12 patches cut from one gastric biopsy slide.
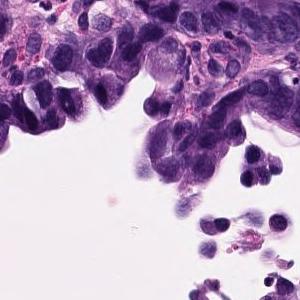
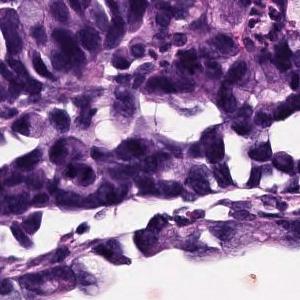
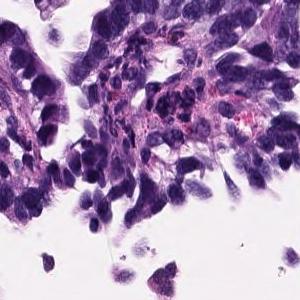
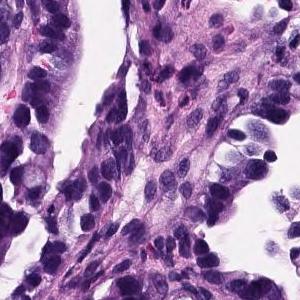
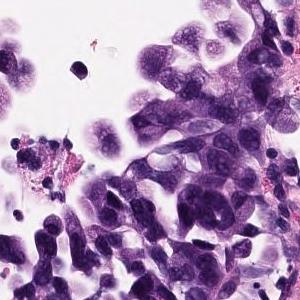
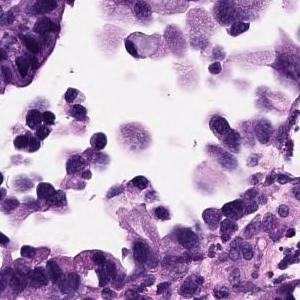
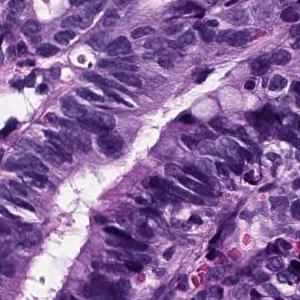
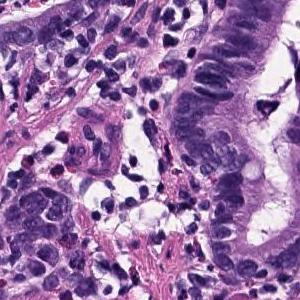
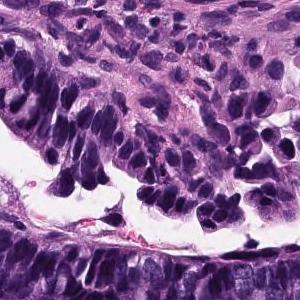
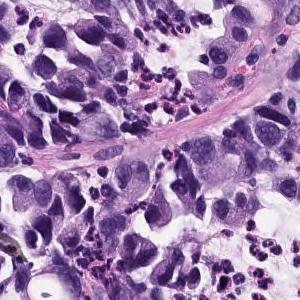
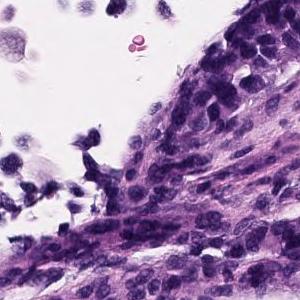
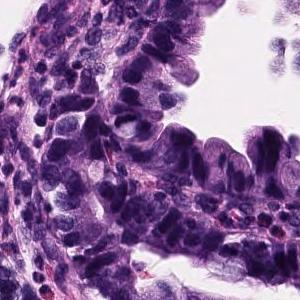
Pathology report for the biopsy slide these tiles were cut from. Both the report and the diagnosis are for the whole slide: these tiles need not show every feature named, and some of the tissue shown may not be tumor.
Atypical epithelium proliferating showing villus construction and irregular gland duct construction is observed. Moderately differentiated tubular adenocarcinoma.
